H&E stain; scanned at ×20; 9 patches cut from one gastric biopsy slide.
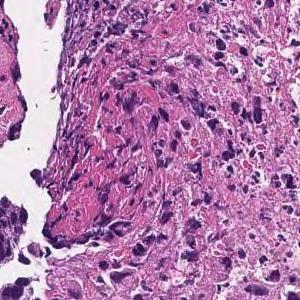
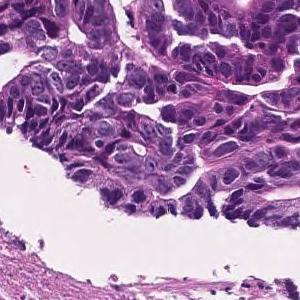
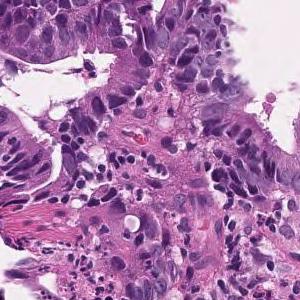
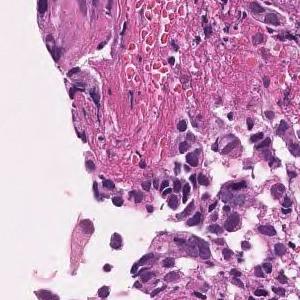
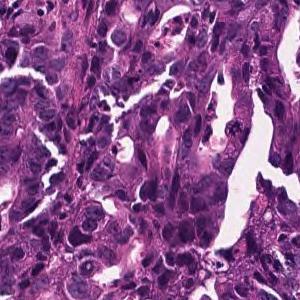
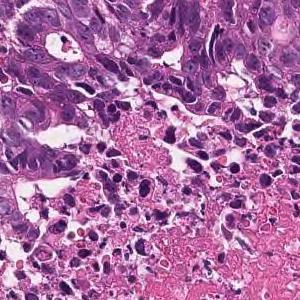
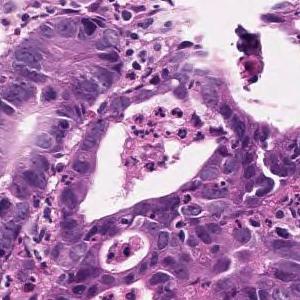
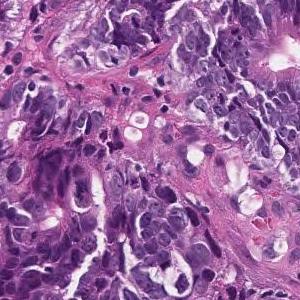
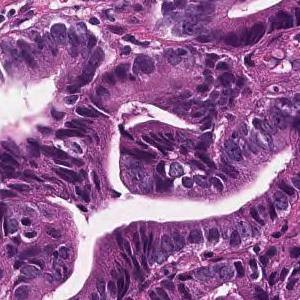
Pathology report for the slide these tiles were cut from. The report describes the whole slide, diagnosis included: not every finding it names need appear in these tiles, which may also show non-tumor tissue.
In the superficial epithelium, tumor tissue that invades by forming medium-sized to small, irregular ducts is observed. moderately differentiated tubular adenocarcinoma.
